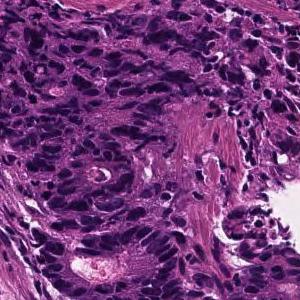
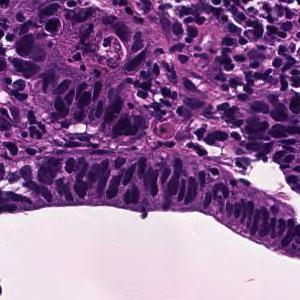
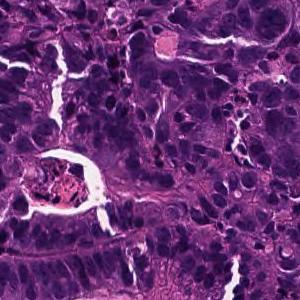
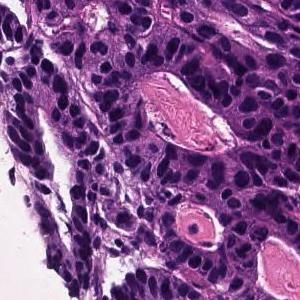
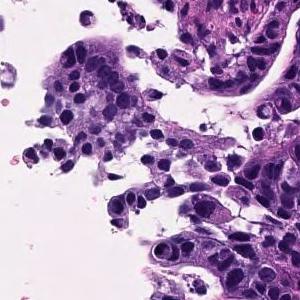
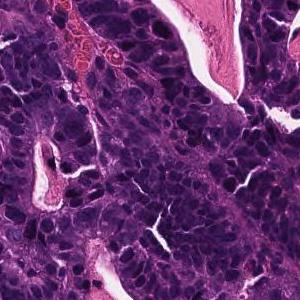
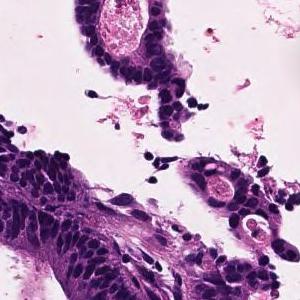
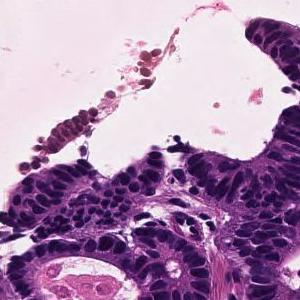
8 tiles from the same stomach biopsy slide; each 300 × 300 pixels; H&E; scanned at ×20.
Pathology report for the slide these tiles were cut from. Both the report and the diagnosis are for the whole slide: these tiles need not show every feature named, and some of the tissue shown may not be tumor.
In the superficial epithelium, tumor tissue that invades by forming medium-sized to small, irregular ducts is observed. moderately differentiated tubular adenocarcinoma.
